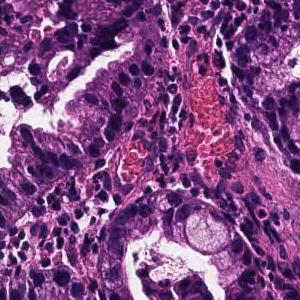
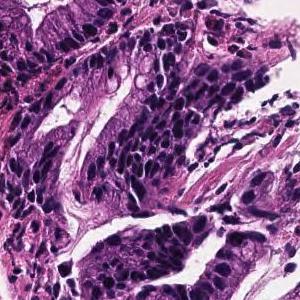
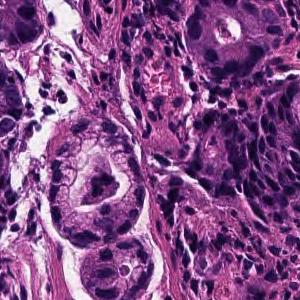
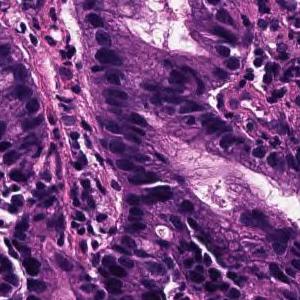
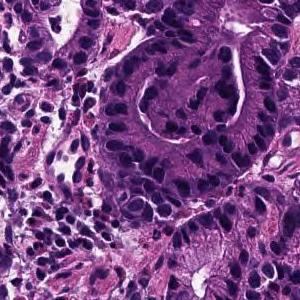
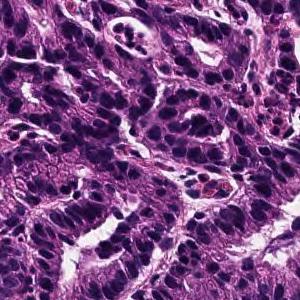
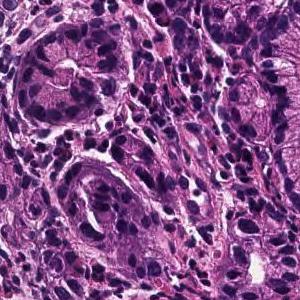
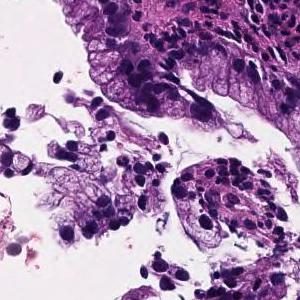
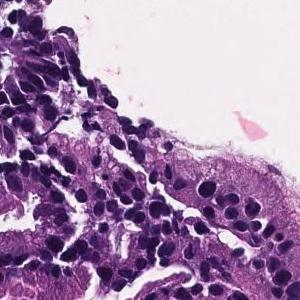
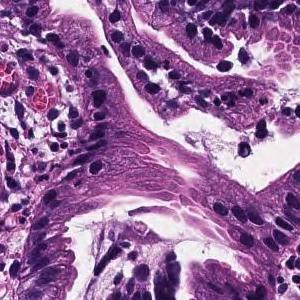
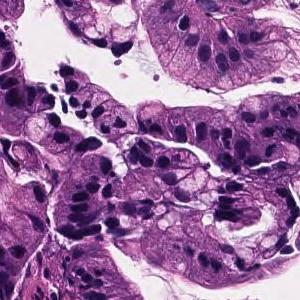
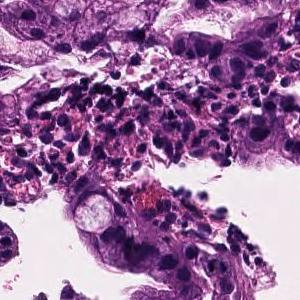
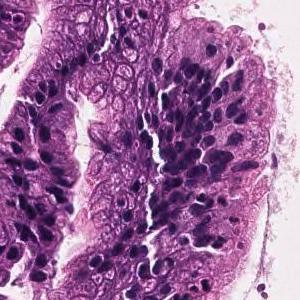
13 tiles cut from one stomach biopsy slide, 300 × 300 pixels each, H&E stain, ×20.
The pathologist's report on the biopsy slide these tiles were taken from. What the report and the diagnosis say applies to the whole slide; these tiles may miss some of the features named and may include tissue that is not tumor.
From the superficial epithelium to the muscularis mucosae, tumor tissue consisting of medium-sized and irregular glandular ducts infiltrating is observed. Well differentiated tubular adenocarcinoma
